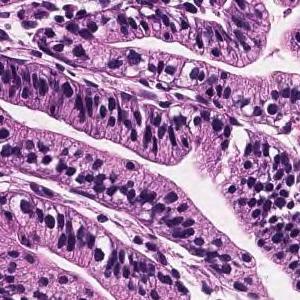
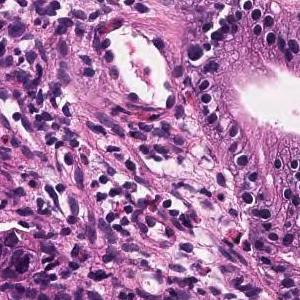
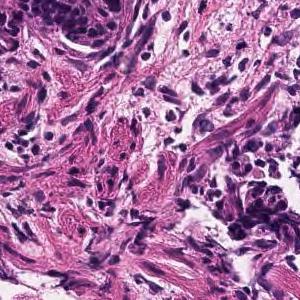
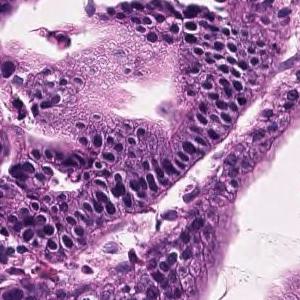
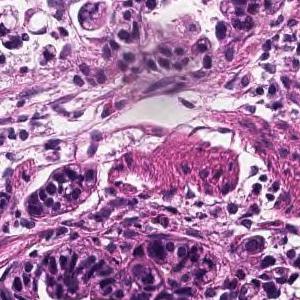
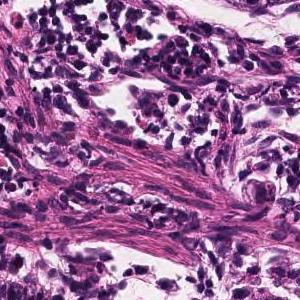
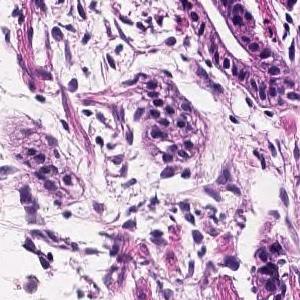
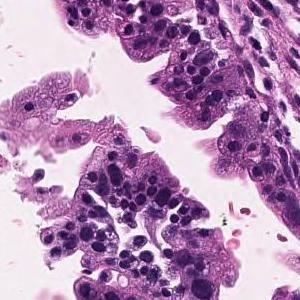
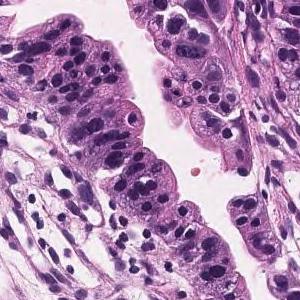
9 image tiles from a single gastric biopsy slide · 20× magnification · hematoxylin and eosin stain.
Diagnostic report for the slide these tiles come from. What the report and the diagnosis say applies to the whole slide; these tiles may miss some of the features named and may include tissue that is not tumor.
Tumor tissue consisting of large papillary structures or irregular glandular ducts partially fused and infiltrated is observed in the superficial epithelium. Well to moderately differentiated tubular adenocarcinoma.
The dataset labels this slide moderately differentiated tubular adenocarcinoma.
